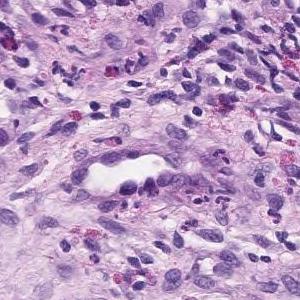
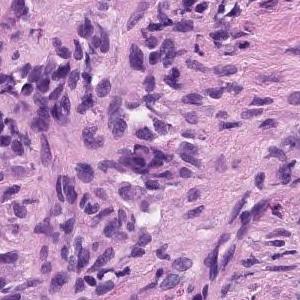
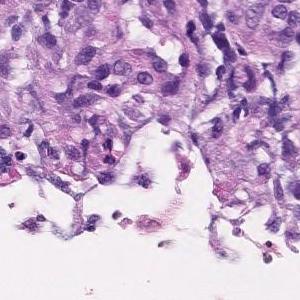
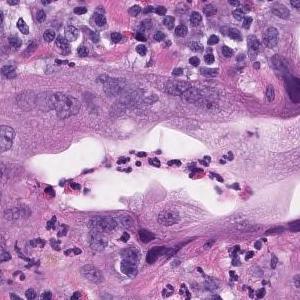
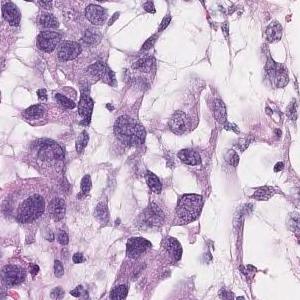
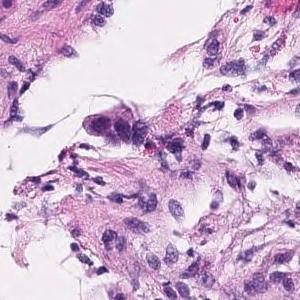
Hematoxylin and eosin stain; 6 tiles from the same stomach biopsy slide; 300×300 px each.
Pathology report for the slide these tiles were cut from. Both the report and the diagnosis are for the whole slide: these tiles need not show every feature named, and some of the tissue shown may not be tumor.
Group 5, Adenocarcinoma. Moderately to poorly differentiated adenocarcinoma
